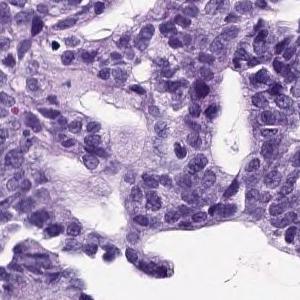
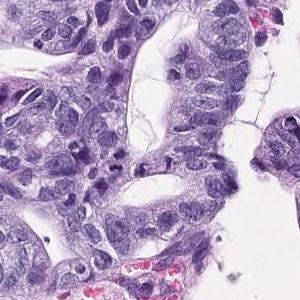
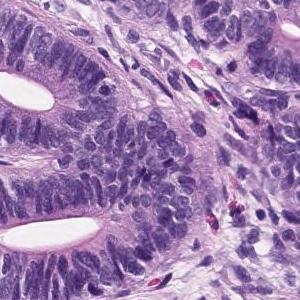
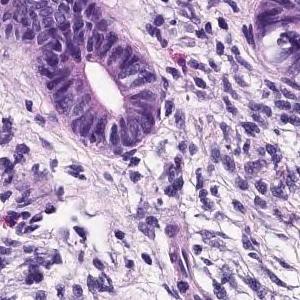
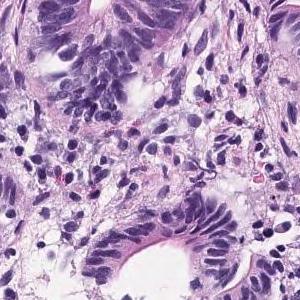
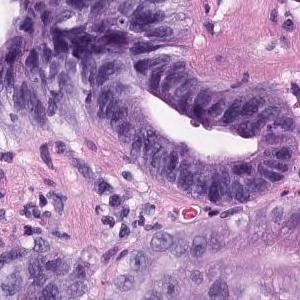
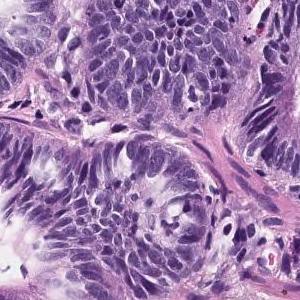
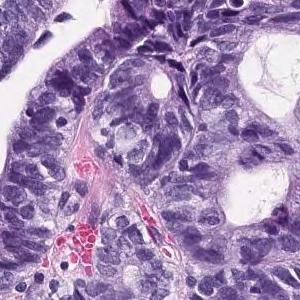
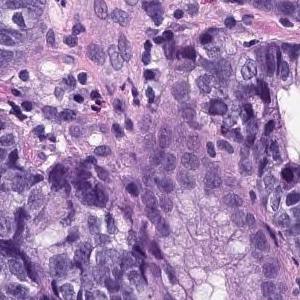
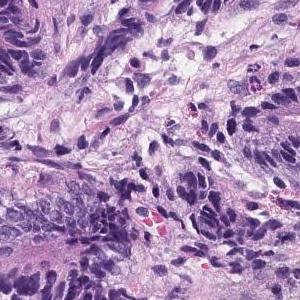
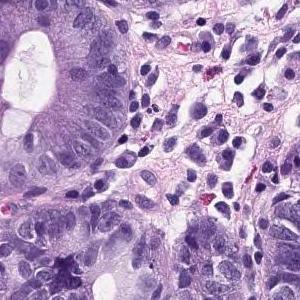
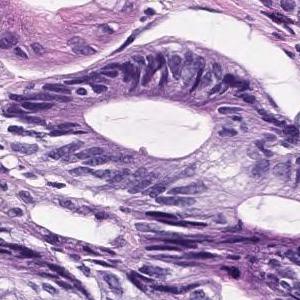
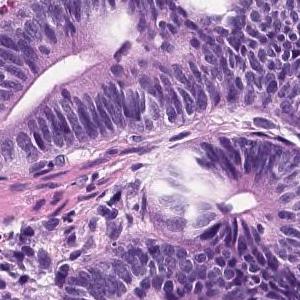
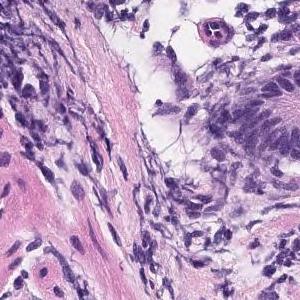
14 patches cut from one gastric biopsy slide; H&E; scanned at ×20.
Report on the slide these tiles come from. The report and the diagnosis describe the slide as a whole, so these tiles may not show every feature named and may include non-tumor tissue.
On the superficial epithelium, tumor tissue consisting of medium-sized to large-sized, round or irregular glandular duct growth images is observed. Well differentiated adenocarcinoma.
Tumor subtype: well differentiated tubular adenocarcinoma.
